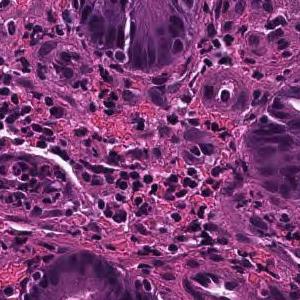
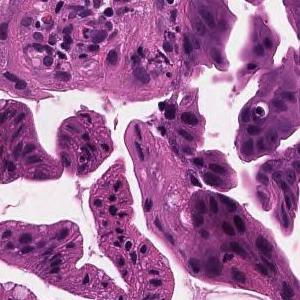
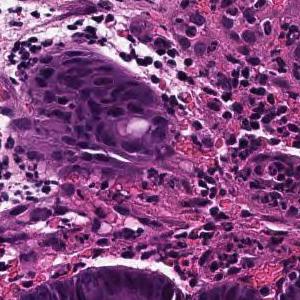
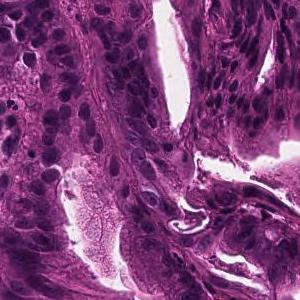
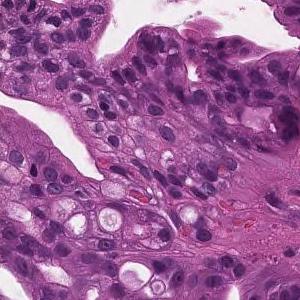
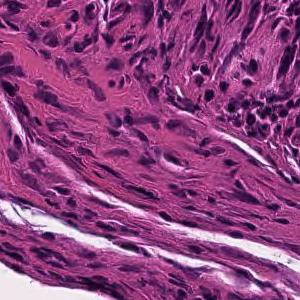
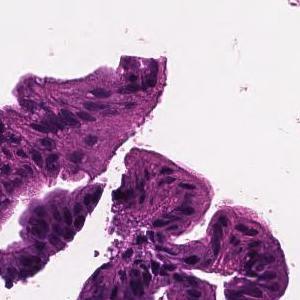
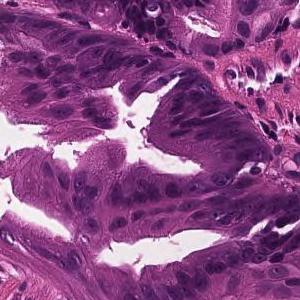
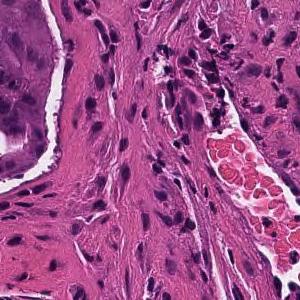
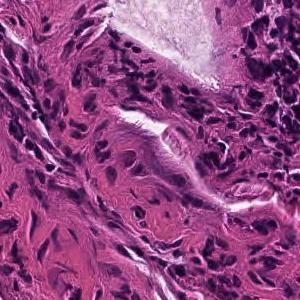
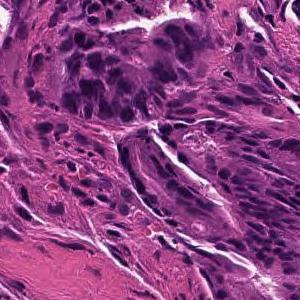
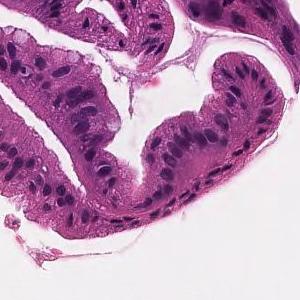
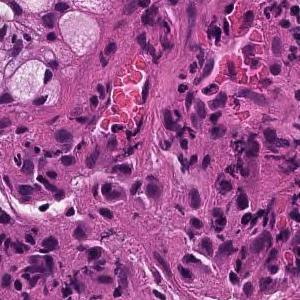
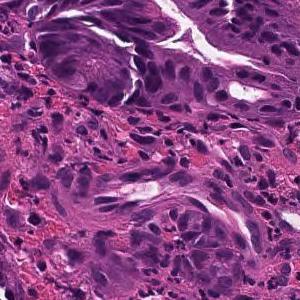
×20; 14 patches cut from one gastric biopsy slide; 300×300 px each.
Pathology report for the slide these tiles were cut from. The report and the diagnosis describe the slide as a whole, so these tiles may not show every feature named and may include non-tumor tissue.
Tumor cells are large, highly columnar, large club-shaped nuclei, and are associated with chromatin aggregation. Papillary adenocarcinoma.
